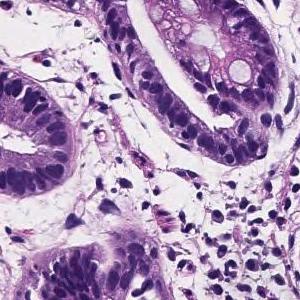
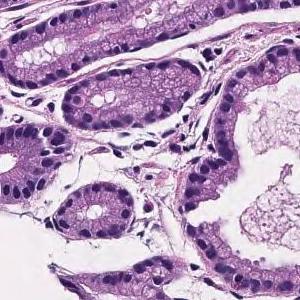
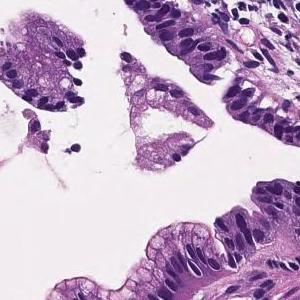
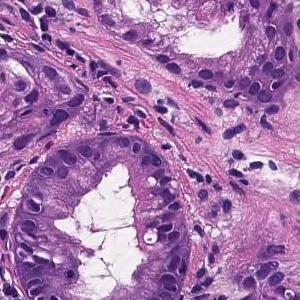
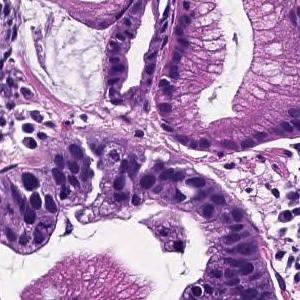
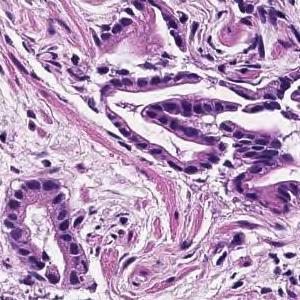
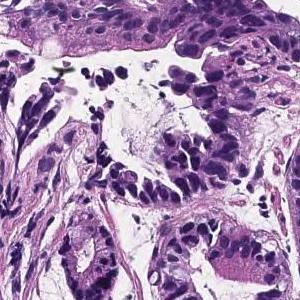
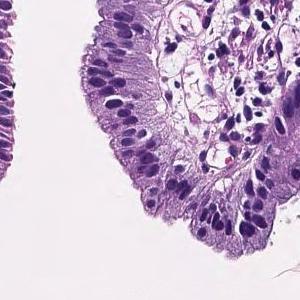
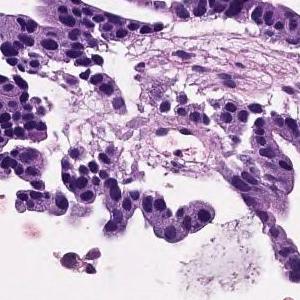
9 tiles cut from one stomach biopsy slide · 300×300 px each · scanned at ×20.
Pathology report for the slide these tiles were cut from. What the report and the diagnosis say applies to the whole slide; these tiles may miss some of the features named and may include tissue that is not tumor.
Tumor cells are large, highly columnar, large club-shaped nuclei, and are associated with chromatin aggregation. Papillary adenocarcinoma.
